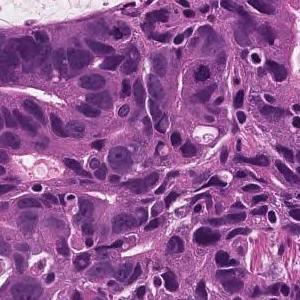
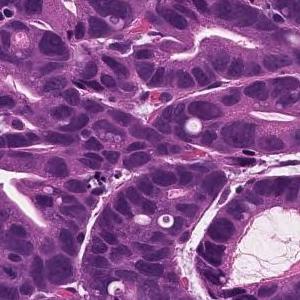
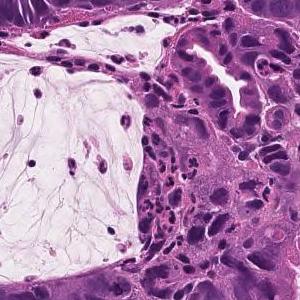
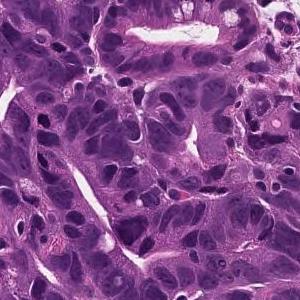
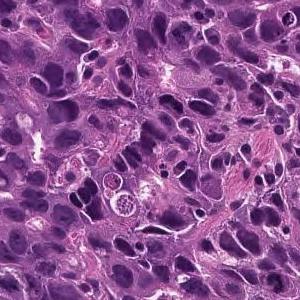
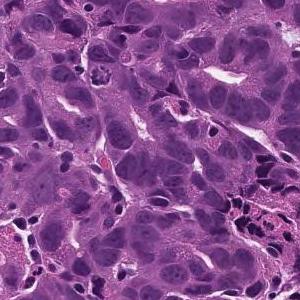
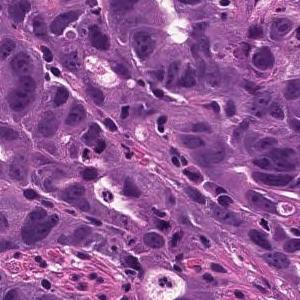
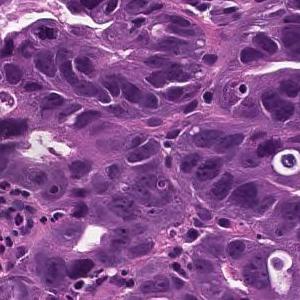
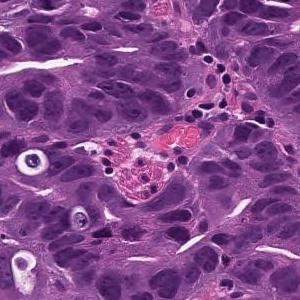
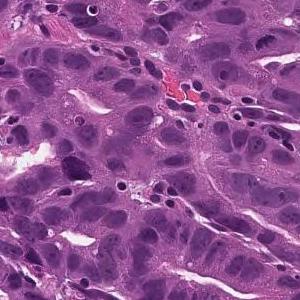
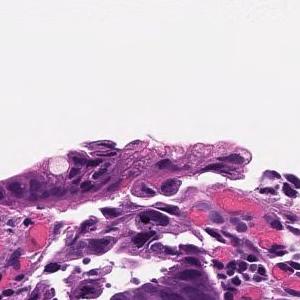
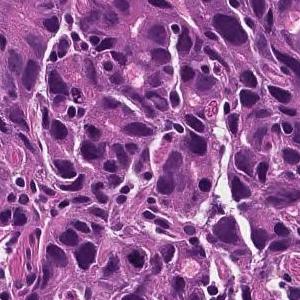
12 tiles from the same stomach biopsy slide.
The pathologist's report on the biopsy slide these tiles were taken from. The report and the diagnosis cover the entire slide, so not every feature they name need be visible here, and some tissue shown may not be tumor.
On the superficial epithelium, tumor tissue is found in which medium-sized irregular gland ducts fuse with each other and infiltrate. moderately differentiated tubular adenocarcinoma
